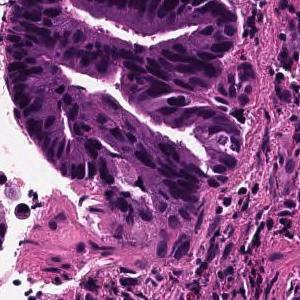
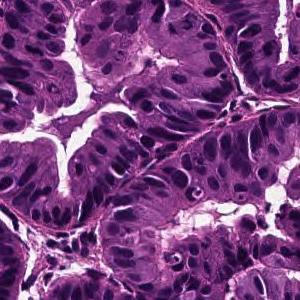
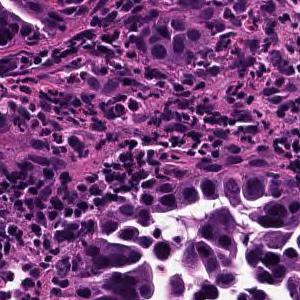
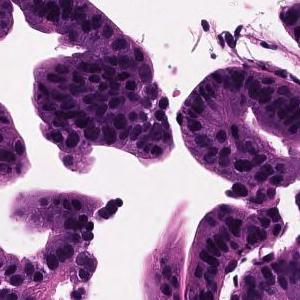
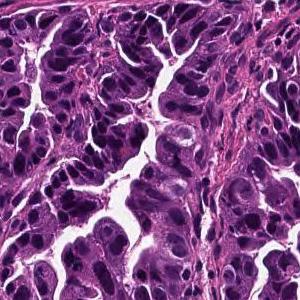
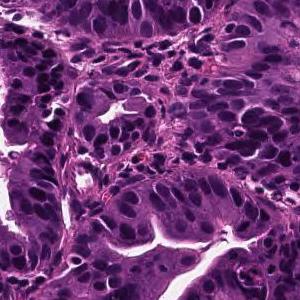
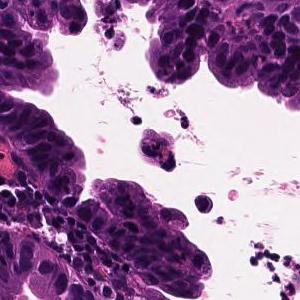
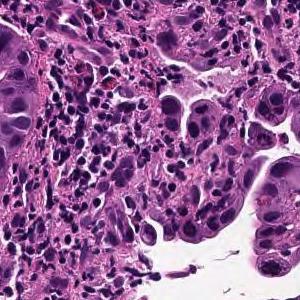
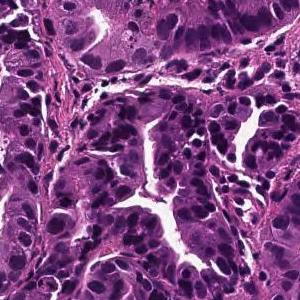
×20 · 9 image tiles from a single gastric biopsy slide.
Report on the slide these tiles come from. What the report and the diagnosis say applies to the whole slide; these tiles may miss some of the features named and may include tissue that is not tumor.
Tumor cells are large, highly columnar, large club-shaped nuclei, and are associated with chromatin aggregation. Papillary adenocarcinoma.
